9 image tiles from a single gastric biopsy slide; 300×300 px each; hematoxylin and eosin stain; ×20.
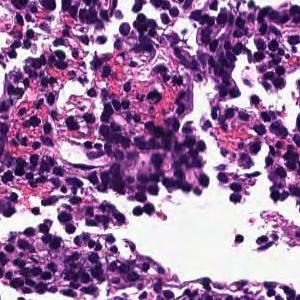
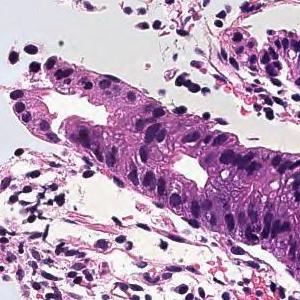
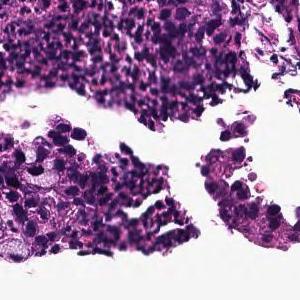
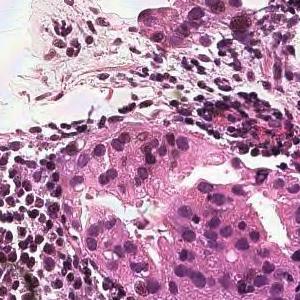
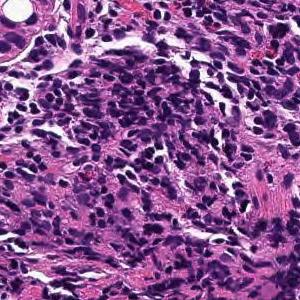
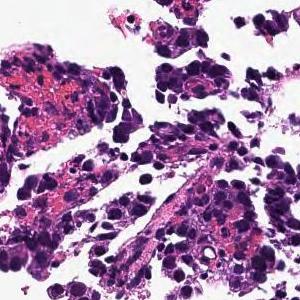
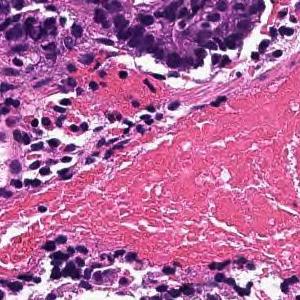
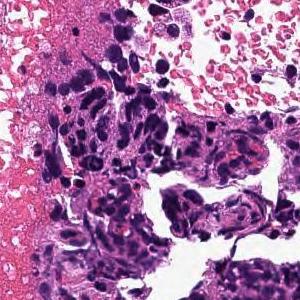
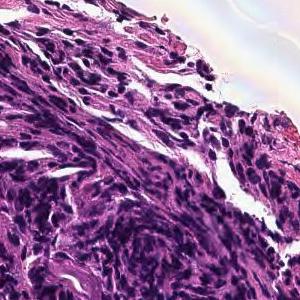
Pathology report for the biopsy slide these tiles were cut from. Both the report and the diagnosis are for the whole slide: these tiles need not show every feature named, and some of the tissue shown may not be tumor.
In the superficial epithelium, tumor tissue that invades by forming medium-sized to small, irregular ducts is observed. moderately differentiated tubular adenocarcinoma.
